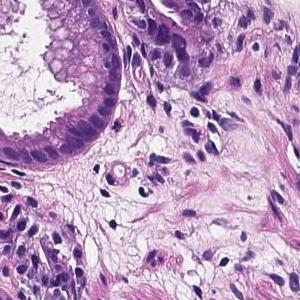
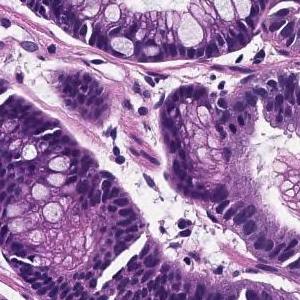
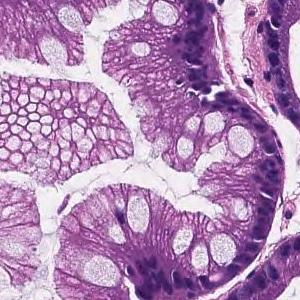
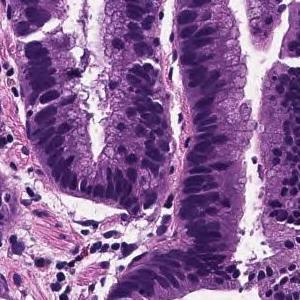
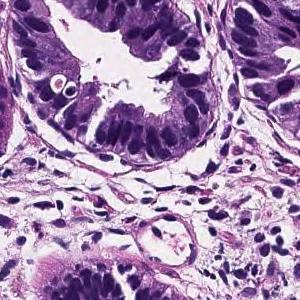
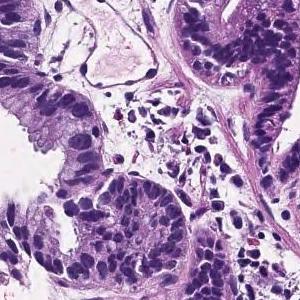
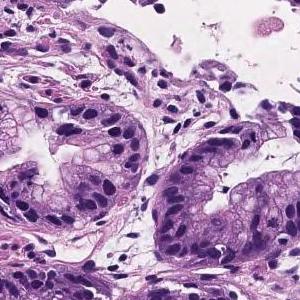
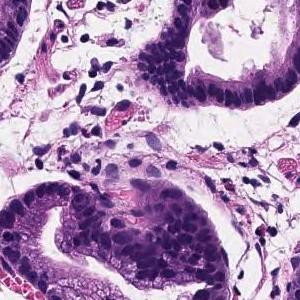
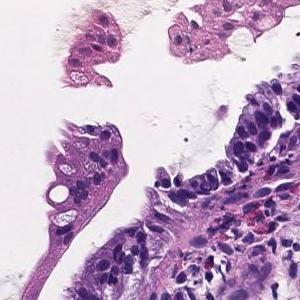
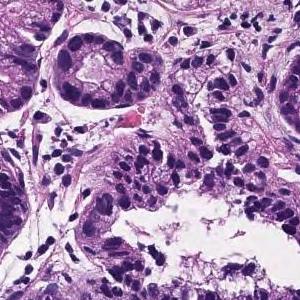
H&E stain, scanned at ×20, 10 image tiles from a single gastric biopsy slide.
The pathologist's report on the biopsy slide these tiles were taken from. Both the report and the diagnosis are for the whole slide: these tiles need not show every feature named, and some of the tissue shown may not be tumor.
Tumor cells are large, highly columnar, large club-shaped nuclei, and are associated with chromatin aggregation. Papillary adenocarcinoma.
